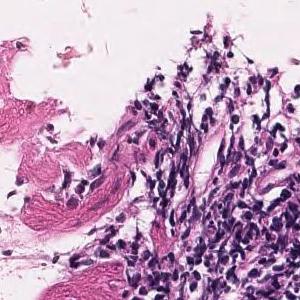
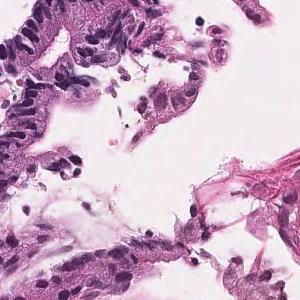
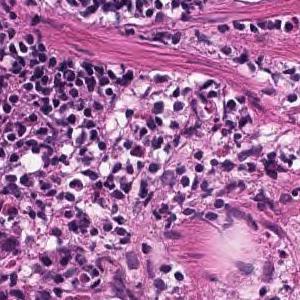
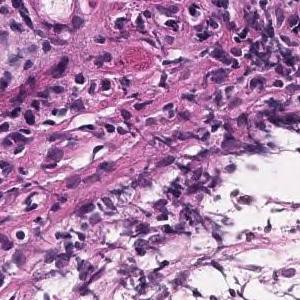
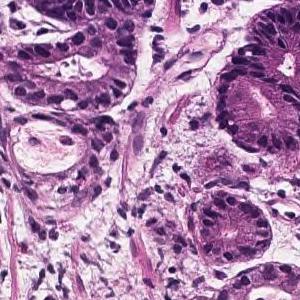
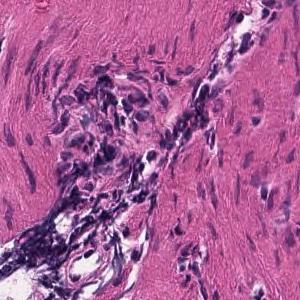
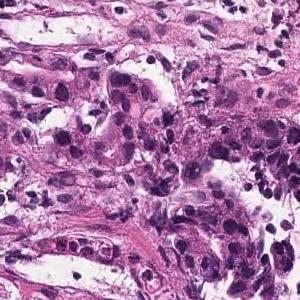
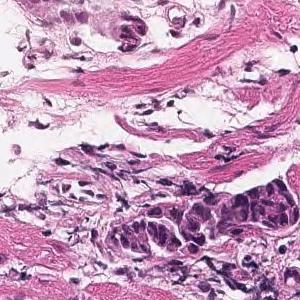
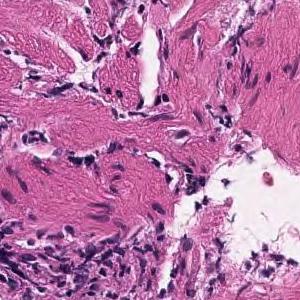
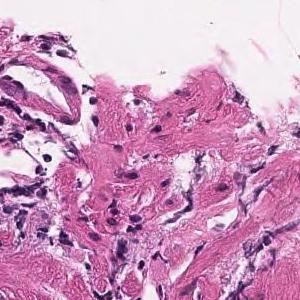
10 patches cut from one gastric biopsy slide, 300×300 px each, 20× magnification, hematoxylin and eosin stain.
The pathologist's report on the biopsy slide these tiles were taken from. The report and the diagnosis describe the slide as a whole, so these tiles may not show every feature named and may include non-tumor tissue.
Tumor tissue with atypical epithelium showing irregular ductal or sieving ductal structure and proliferating is observed. Well to moderately differentiated tubular adenocarcinoma (well differentiated tubular adenocarcinoma-moderately differentiated tubular adenocarcinoma)
Classified as well to moderately differentiated tubular adenocarcinoma.
